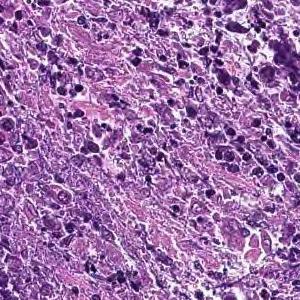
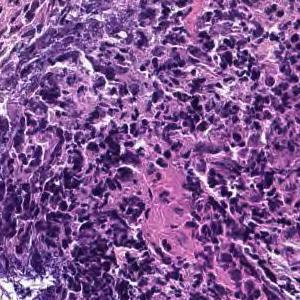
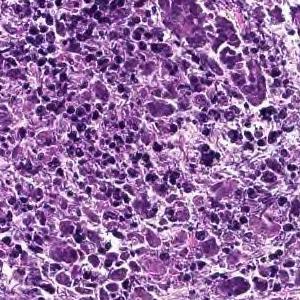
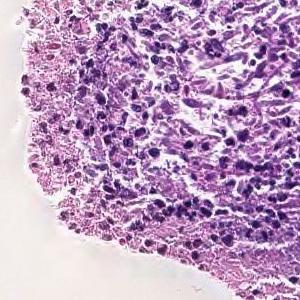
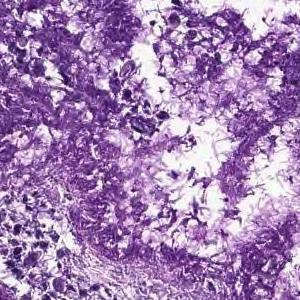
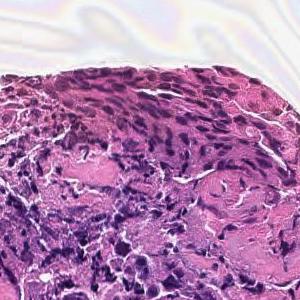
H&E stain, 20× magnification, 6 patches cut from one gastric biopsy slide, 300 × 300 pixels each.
Report on the slide these tiles come from. What the report and the diagnosis say applies to the whole slide; these tiles may miss some of the features named and may include tissue that is not tumor.
Cancers with polygonal nuclei do not show glandular formation and are densely, in part, cord-like and proliferate. Poorly differentiated adenocarcinoma
Tumor subtype: poorly differentiated adenocarcinoma, non-solid type.
"Non-solid type" is a category of the Japanese Classification of Gastric Carcinoma.
